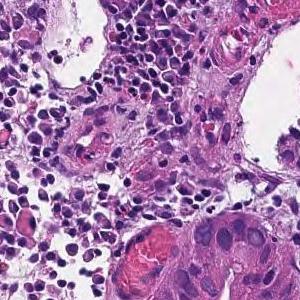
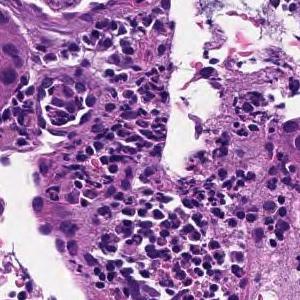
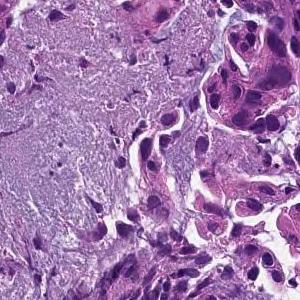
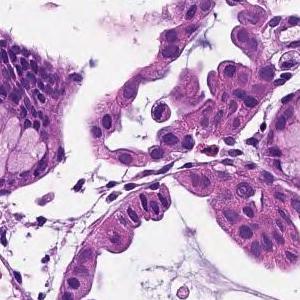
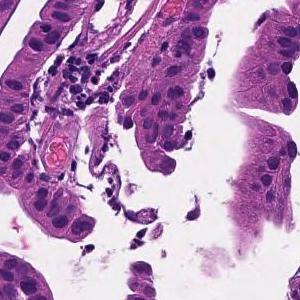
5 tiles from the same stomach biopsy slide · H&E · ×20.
Pathology report for the biopsy slide these tiles were cut from. The report and the diagnosis describe the slide as a whole, so these tiles may not show every feature named and may include non-tumor tissue.
On the superficial epithelium, tumor tissue that infiltrates by forming medium-sized papillary or small irregular ducts is observed. Papillary adenocarcinoma
